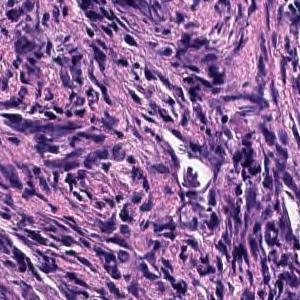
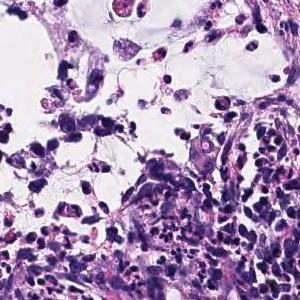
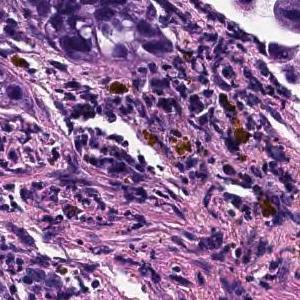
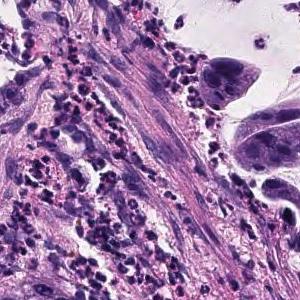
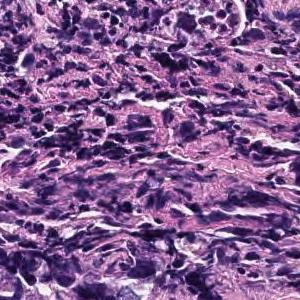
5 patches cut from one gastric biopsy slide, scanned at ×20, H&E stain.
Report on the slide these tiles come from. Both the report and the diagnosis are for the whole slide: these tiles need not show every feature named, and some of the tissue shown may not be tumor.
The superficial epithelium shows small cord-like infiltrating tumor tissue. Some part of neoplastic cells are signet ring cell type which show single invasion manner. Poorly differentiated adenocarcinoma, non-solid type.
The non-solid type named here is a Japanese Classification of Gastric Carcinoma category.
